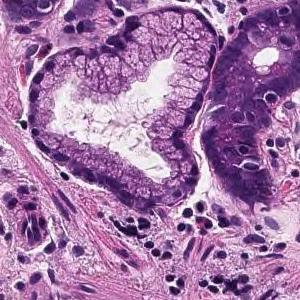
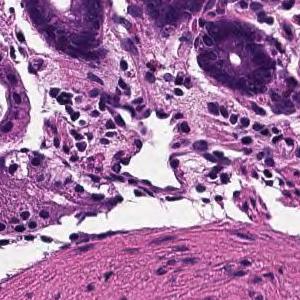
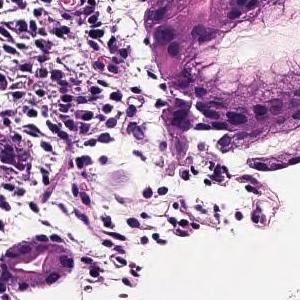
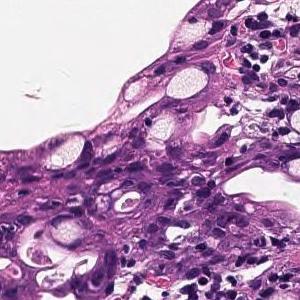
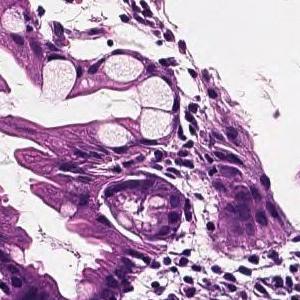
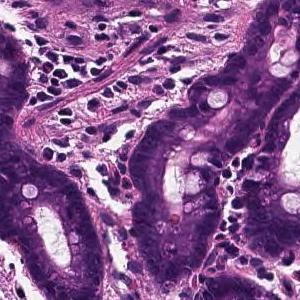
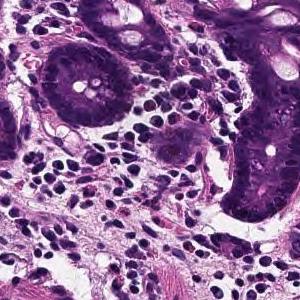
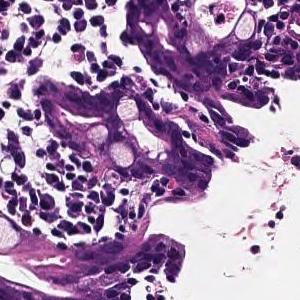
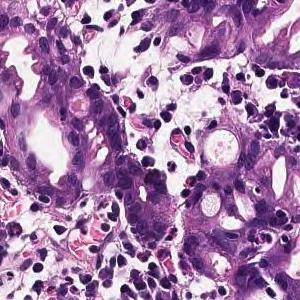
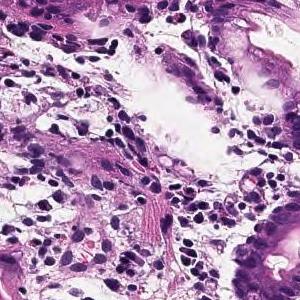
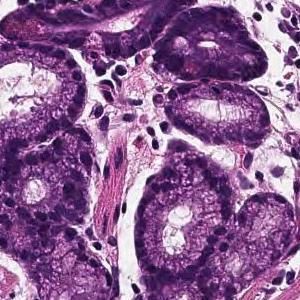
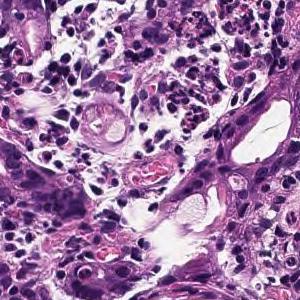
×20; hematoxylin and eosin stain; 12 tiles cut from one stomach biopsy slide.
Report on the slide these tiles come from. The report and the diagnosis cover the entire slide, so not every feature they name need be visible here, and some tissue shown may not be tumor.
In the superficial epithelium, tumor tissue that invades by forming medium-sized to small, irregular ducts is observed. moderately differentiated tubular adenocarcinoma.
